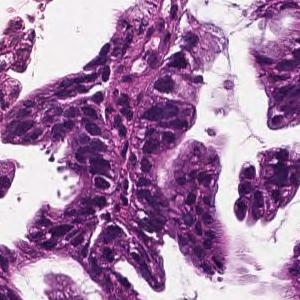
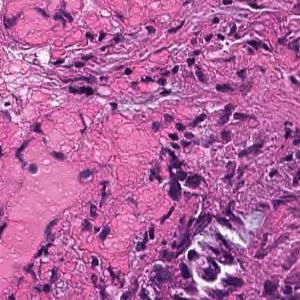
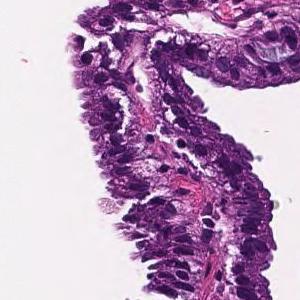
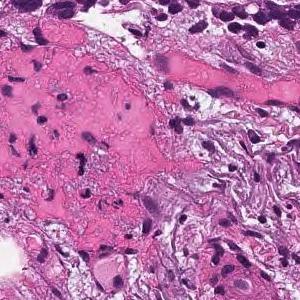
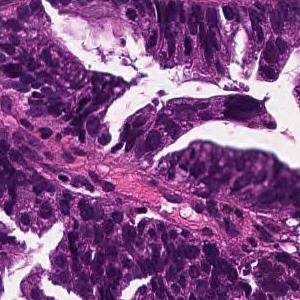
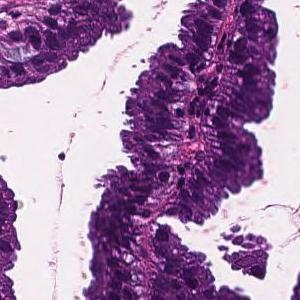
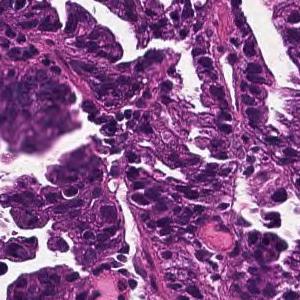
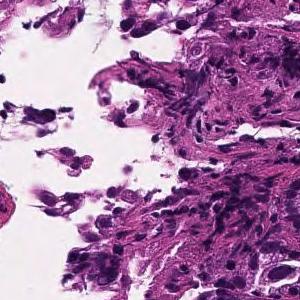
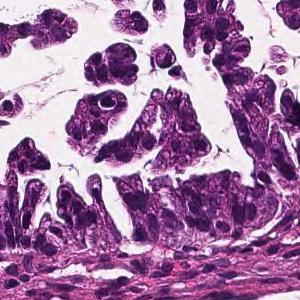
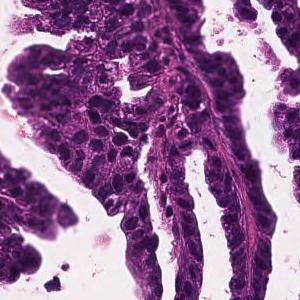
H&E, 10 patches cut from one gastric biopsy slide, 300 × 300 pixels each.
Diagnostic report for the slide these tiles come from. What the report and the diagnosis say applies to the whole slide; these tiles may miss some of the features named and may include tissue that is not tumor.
Tumor cells are large, highly columnar, large club-shaped nuclei, and are associated with chromatin aggregation. Papillary adenocarcinoma.
